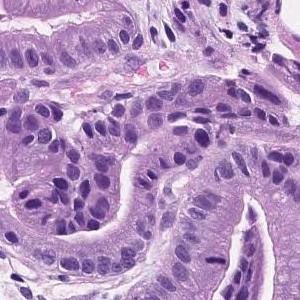
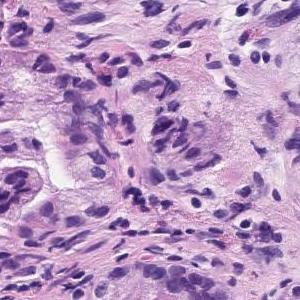
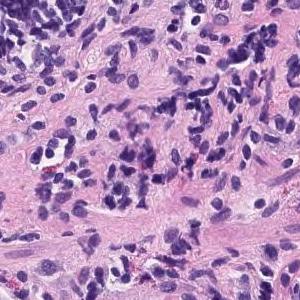
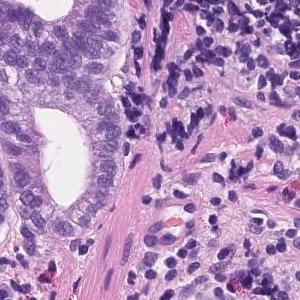
H&E · 4 tiles cut from one stomach biopsy slide · 300×300 px each.
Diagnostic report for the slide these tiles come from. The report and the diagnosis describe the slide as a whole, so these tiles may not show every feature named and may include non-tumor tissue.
Tumor tissue consisting of medium-sized and irregular ducts is observed infiltrating in the superficial epithelium. Tumor cells are highly columnar, with nuclei aligned basolaterally and polarized. Well differentiated tubular adenocarcinoma.
